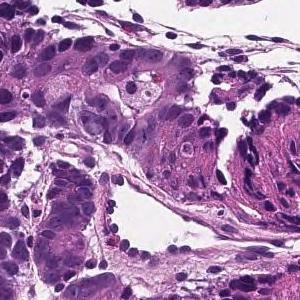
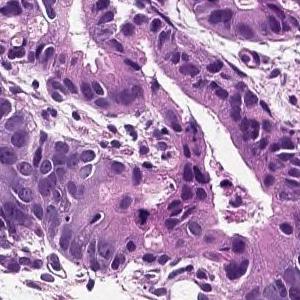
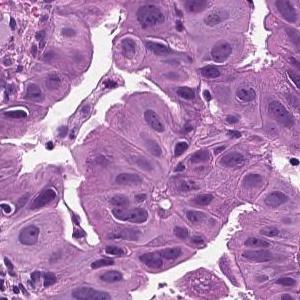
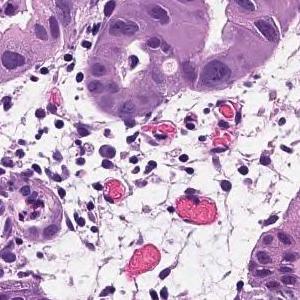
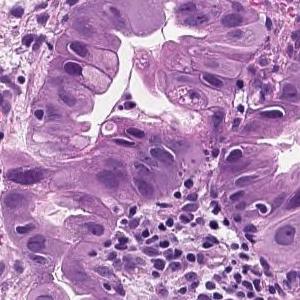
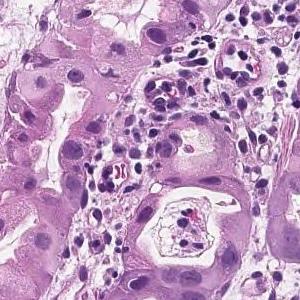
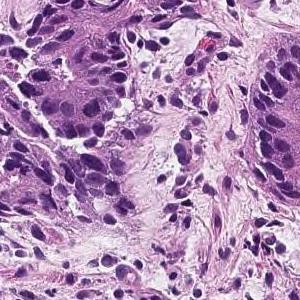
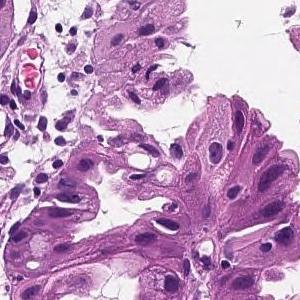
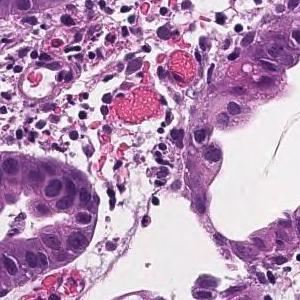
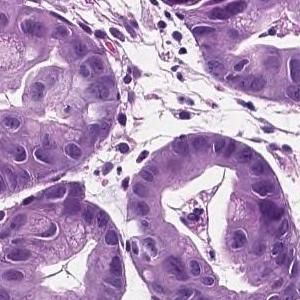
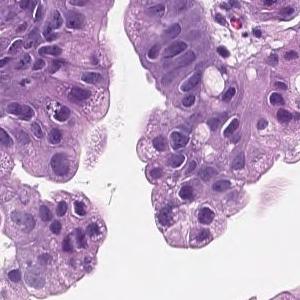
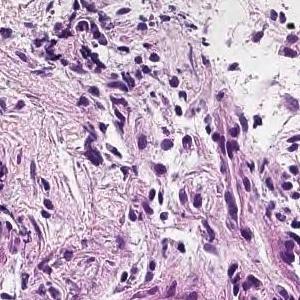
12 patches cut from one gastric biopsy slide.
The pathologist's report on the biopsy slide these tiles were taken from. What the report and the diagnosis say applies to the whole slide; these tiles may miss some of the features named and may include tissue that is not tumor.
On the superficial epithelium, tumor tissue that infiltrates by forming medium-sized papillary or small irregular ducts is observed. Papillary adenocarcinoma
